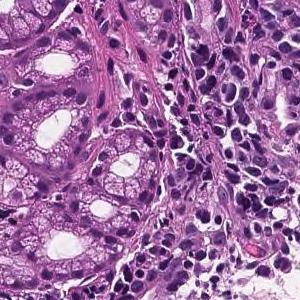
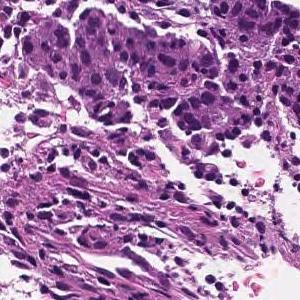
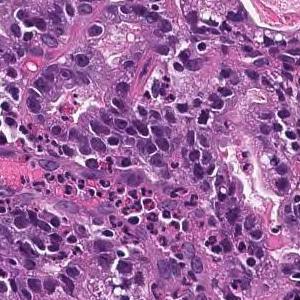
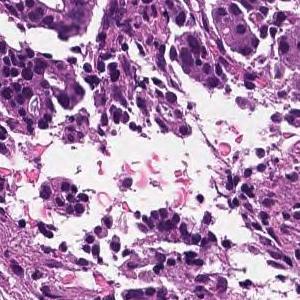
Scanned at ×20; H&E; 4 tiles from the same stomach biopsy slide; 300×300 px each.
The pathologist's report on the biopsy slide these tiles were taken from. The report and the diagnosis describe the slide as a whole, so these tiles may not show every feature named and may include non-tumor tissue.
On the superficial epithelium, tumor tissue that infiltrates by forming medium-sized papillary or small irregular ducts is observed. Papillary adenocarcinoma
